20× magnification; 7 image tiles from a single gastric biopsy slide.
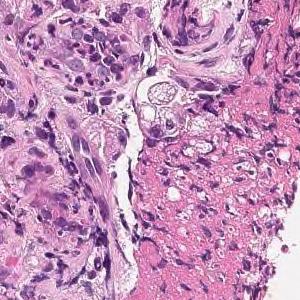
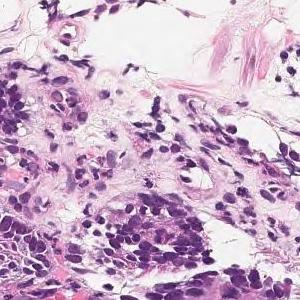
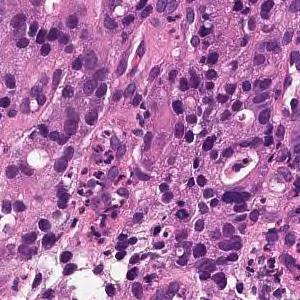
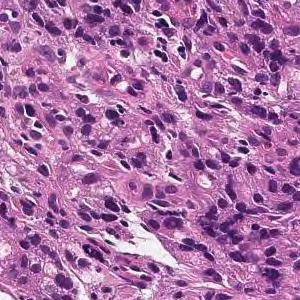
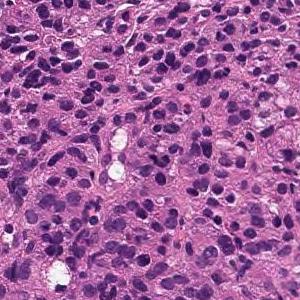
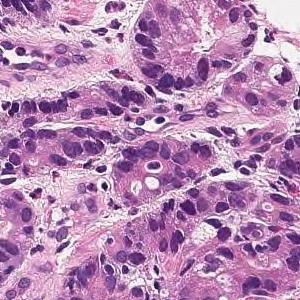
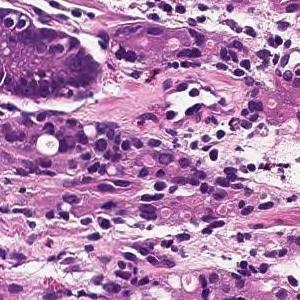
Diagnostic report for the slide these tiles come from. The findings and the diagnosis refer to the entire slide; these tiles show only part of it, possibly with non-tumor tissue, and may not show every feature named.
In the superficial epithelium, medium to small irregular gland ducts are formed, and in some cases, the ducts are fused to show solid alveolar lesions and infiltrating tumor tissue is observed. moderately differentiated tubular adenocarcinoma or poorly differentiated adenocarcinoma, solid-type (poorly differentiated adenocarcinoma, solid type)
Labeled in the dataset as poorly differentiated adenocarcinoma, solid type. This name comes from the Japanese Classification of Gastric Carcinoma; the WHO 2019 classification calls it tubular adenocarcinoma, poorly differentiated.
